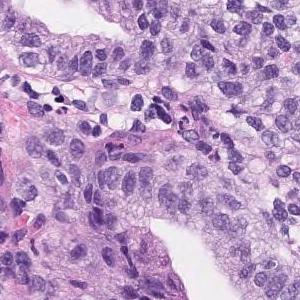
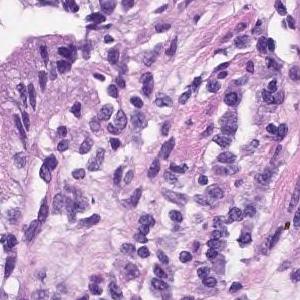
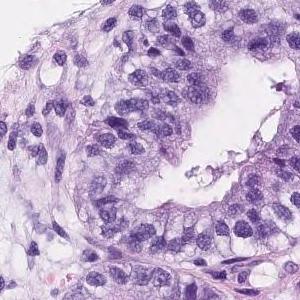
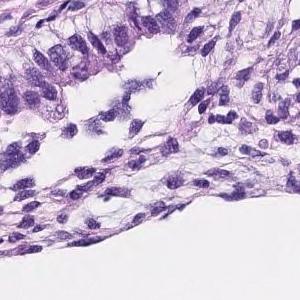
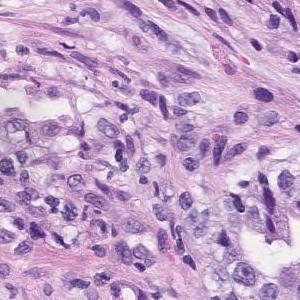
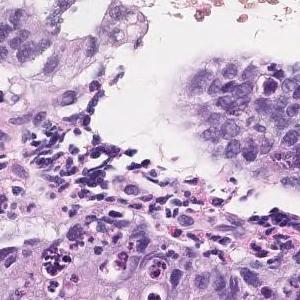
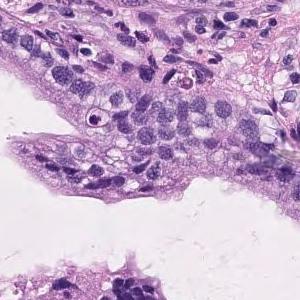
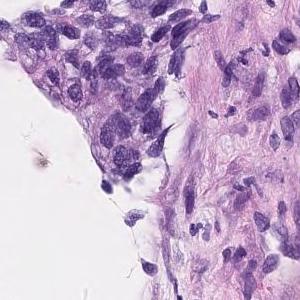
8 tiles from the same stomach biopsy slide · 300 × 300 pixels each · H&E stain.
Pathology report for the biopsy slide these tiles were cut from. The report and the diagnosis cover the entire slide, so not every feature they name need be visible here, and some tissue shown may not be tumor.
Tumor cells are large, highly columnar, large club-shaped nuclei, and are associated with chromatin aggregation. Papillary adenocarcinoma.
